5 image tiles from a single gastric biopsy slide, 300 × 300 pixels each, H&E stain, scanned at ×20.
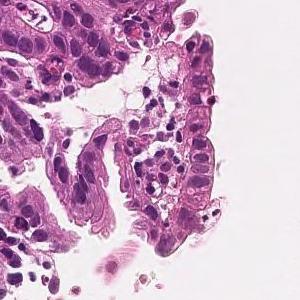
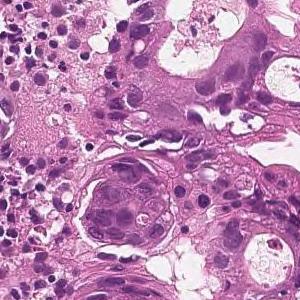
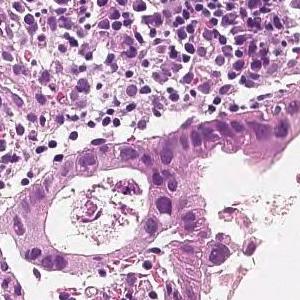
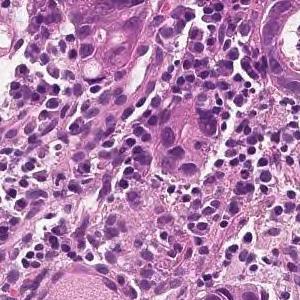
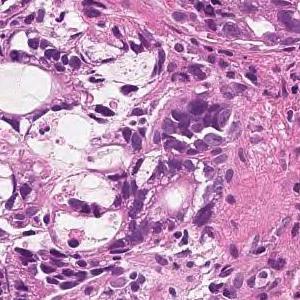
Pathology report for the biopsy slide these tiles were cut from. The report and the diagnosis cover the entire slide, so not every feature they name need be visible here, and some tissue shown may not be tumor.
On the superficial epithelium, tumor tissue is found in which medium-sized irregular gland ducts fuse with each other and infiltrate. moderately differentiated tubular adenocarcinoma
